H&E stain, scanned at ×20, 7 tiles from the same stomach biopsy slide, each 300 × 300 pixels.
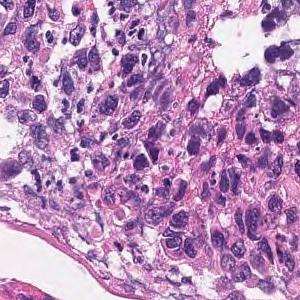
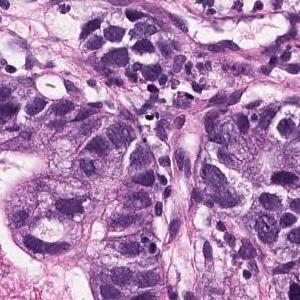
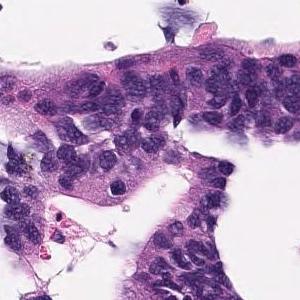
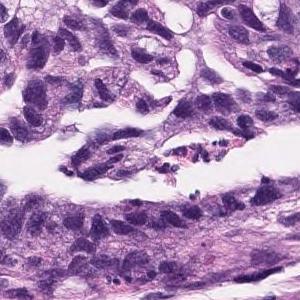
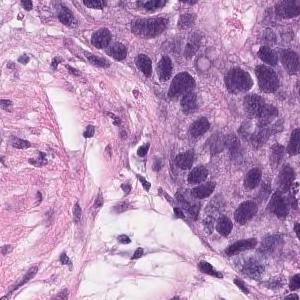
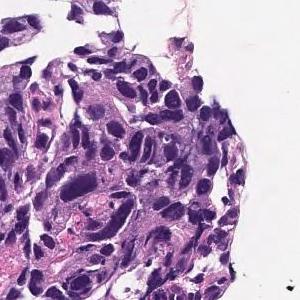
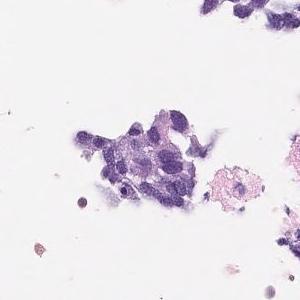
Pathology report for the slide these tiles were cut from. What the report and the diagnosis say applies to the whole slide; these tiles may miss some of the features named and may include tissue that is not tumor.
Medium to small, irregular glandular ducts are formed in the superficial epithelium, and in some cases, the glandular ducts are fused to show solid alveolar lesions and infiltrating tumor tissue is observed. Moderately to poorly differentiated adenocarcinoma.
